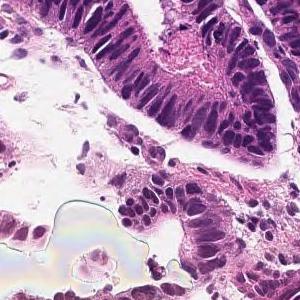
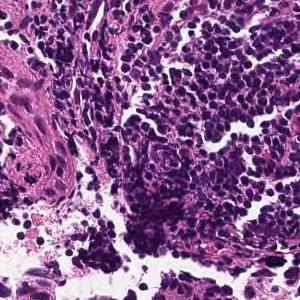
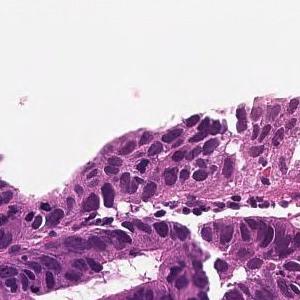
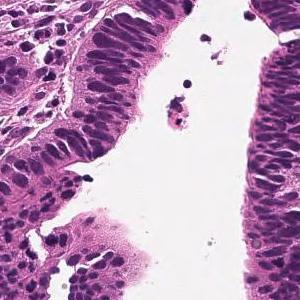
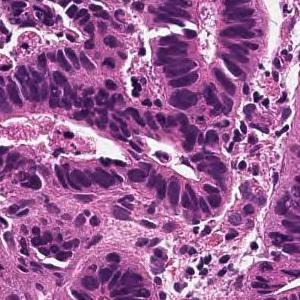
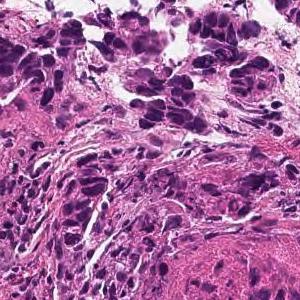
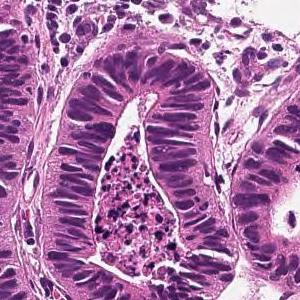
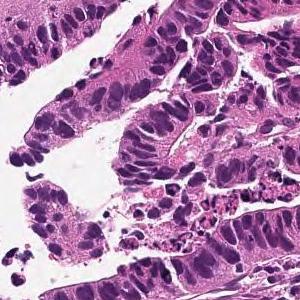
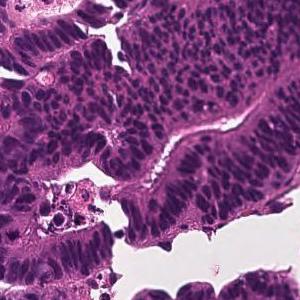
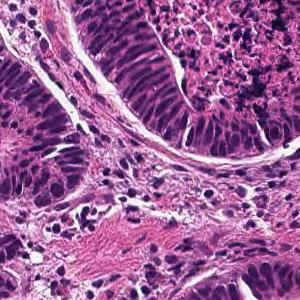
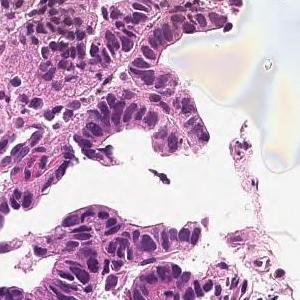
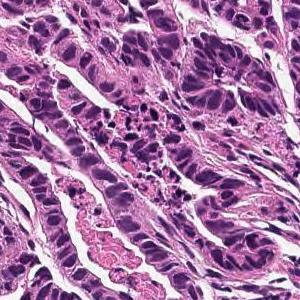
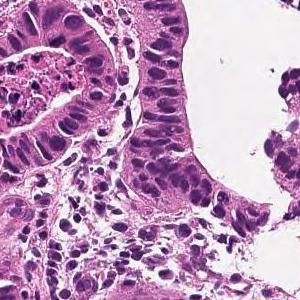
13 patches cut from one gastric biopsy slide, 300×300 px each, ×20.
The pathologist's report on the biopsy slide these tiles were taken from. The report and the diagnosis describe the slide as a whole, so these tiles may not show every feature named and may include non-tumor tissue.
From the superficial epithelium to the muscularis mucosae, tumor tissue consisting of medium-sized and irregular glandular ducts infiltrating is observed. Well differentiated tubular adenocarcinoma
